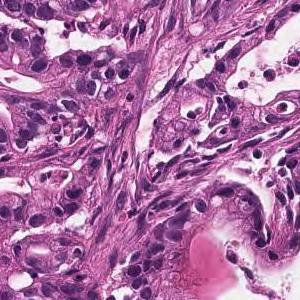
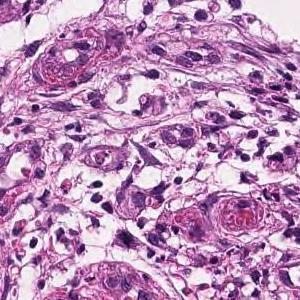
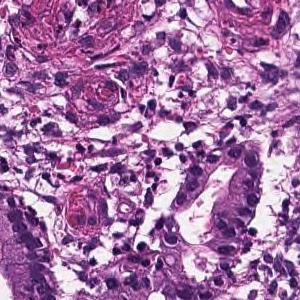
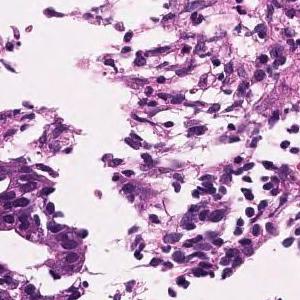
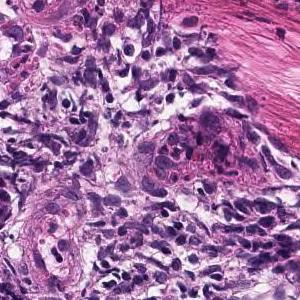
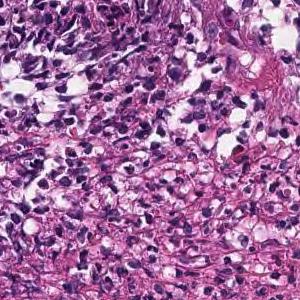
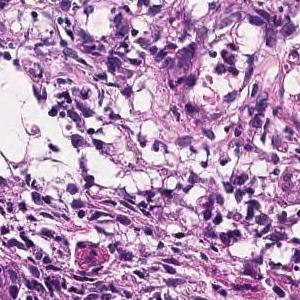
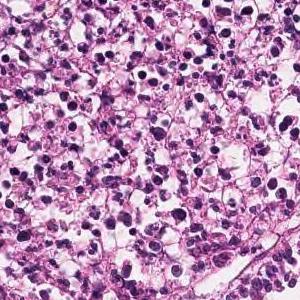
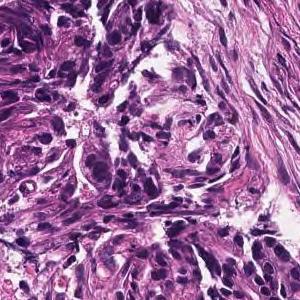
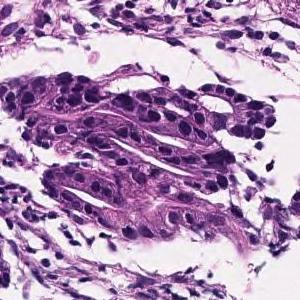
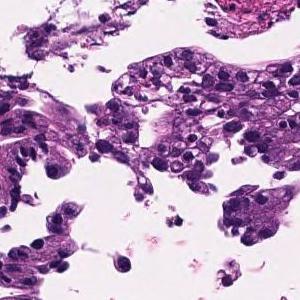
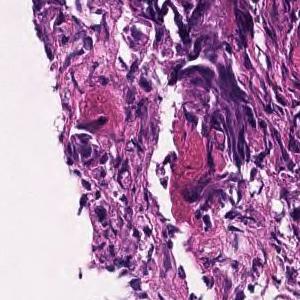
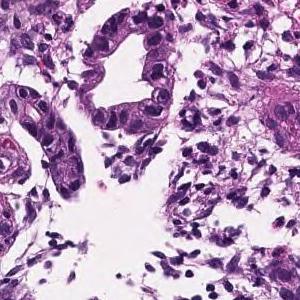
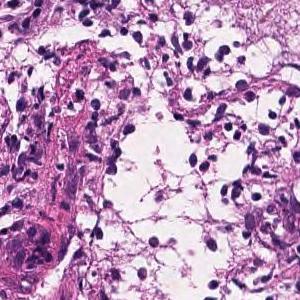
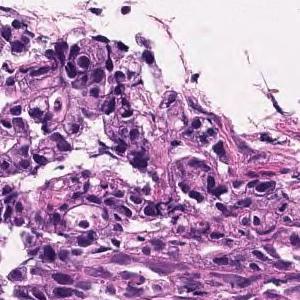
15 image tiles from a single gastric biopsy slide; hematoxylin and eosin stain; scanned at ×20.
The pathologist's report on the biopsy slide these tiles were taken from. The findings and the diagnosis refer to the entire slide; these tiles show only part of it, possibly with non-tumor tissue, and may not show every feature named.
In the superficial epithelium, medium to small, irregular gland ducts are formed, and in some cases, the gland ducts are fused to show solid alveolar lesions and infiltrating tumor tissue is observed. Moderately to poorly differentiated adenocarcinoma.
